×20 · hematoxylin and eosin stain · 9 image tiles from a single gastric biopsy slide · each 300 × 300 pixels.
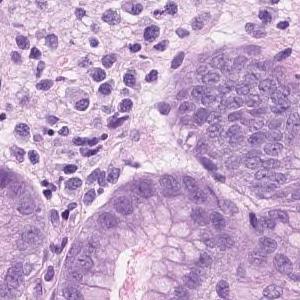
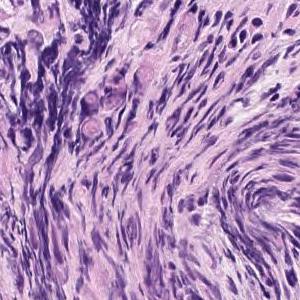
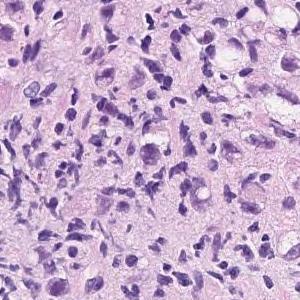
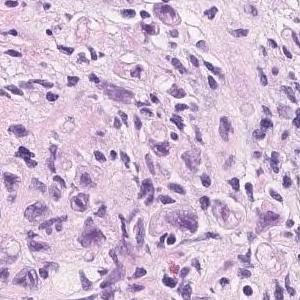
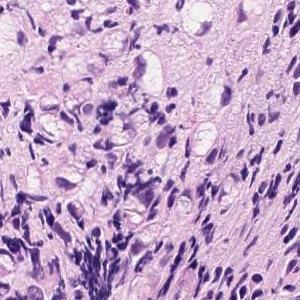
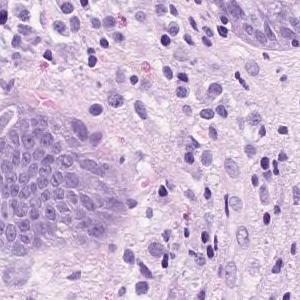
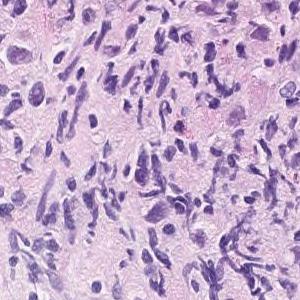
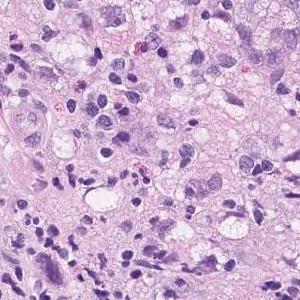
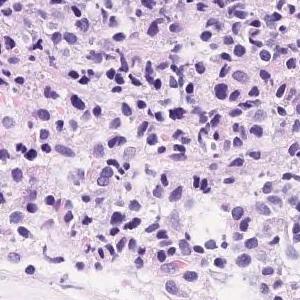
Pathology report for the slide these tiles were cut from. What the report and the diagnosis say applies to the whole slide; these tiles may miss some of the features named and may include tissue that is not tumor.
Group 5, Adenocarcinoma. Poorly differentiated adenocarcinoma, non-solid type
The term "non-solid type" comes from the Japanese Classification of Gastric Carcinoma.
